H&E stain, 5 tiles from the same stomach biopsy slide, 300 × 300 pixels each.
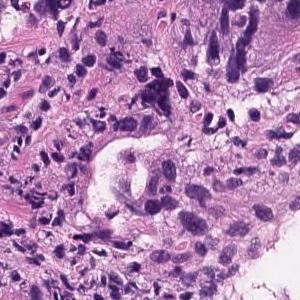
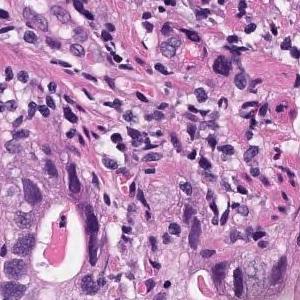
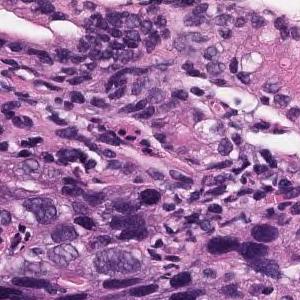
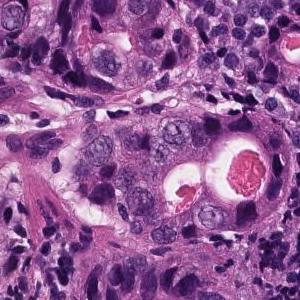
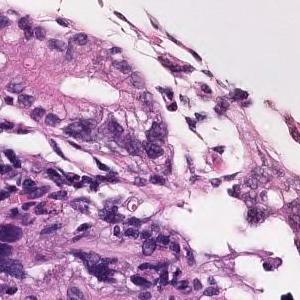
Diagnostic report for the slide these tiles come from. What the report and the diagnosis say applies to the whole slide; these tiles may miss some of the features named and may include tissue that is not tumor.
In the superficial epithelium, tumor tissue that invades by forming medium-sized to small, irregular ducts is observed. Moderately differentiated adenocarcinoma.
Histological subtype: Moderately differentiated tubular adenocarcinoma.
